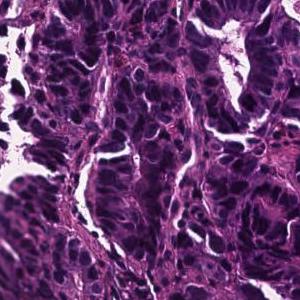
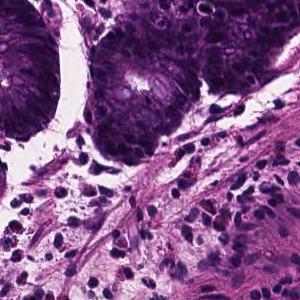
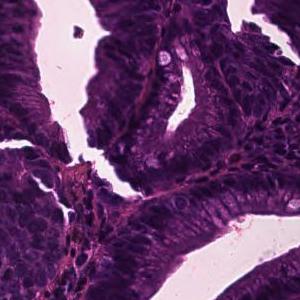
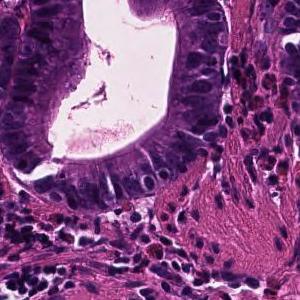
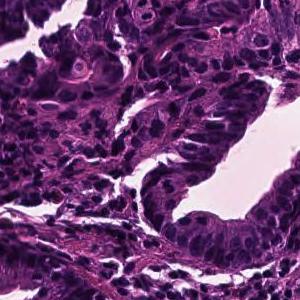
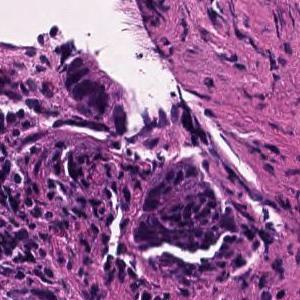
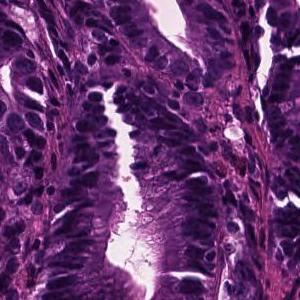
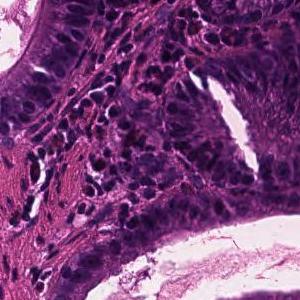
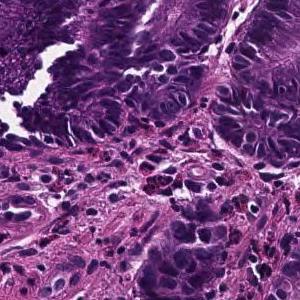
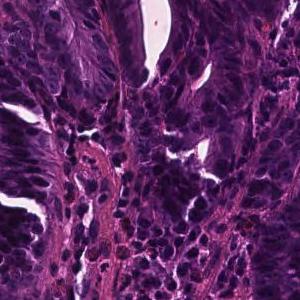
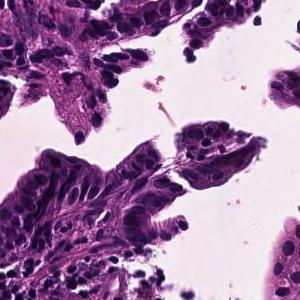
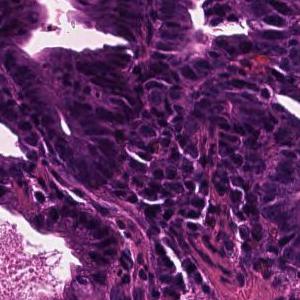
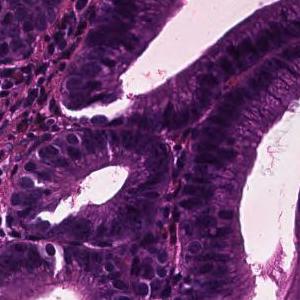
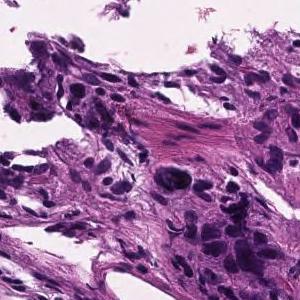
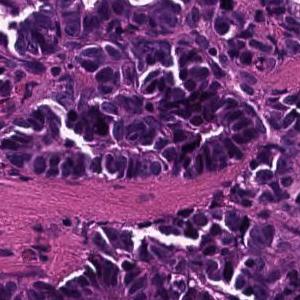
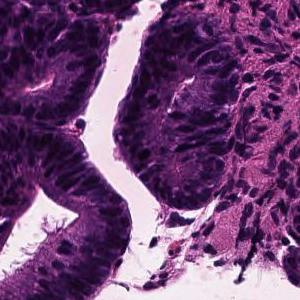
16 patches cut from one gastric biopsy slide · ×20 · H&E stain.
Pathology report for the slide these tiles were cut from. What the report and the diagnosis say applies to the whole slide; these tiles may miss some of the features named and may include tissue that is not tumor.
In the superficial epithelium, tumor tissue that invades by forming medium-sized to small, irregular ducts is observed. moderately differentiated tubular adenocarcinoma.
